12 image tiles from a single gastric biopsy slide, 20× magnification.
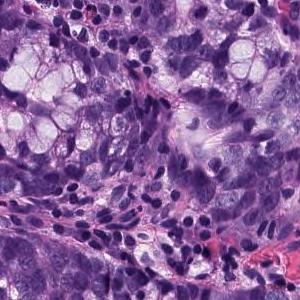
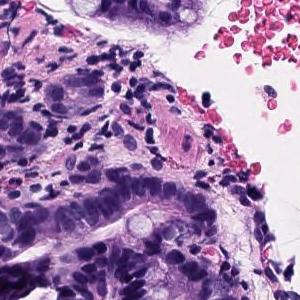
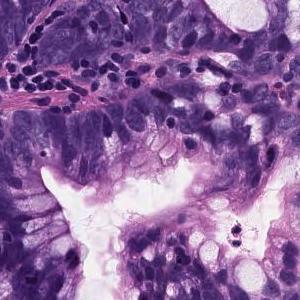
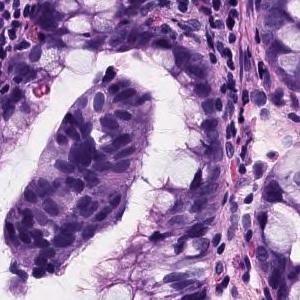
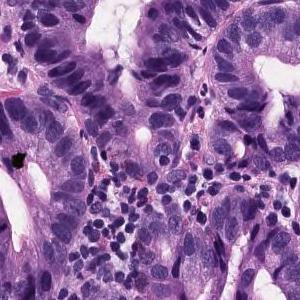
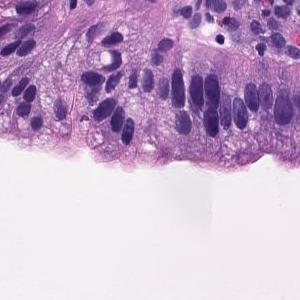
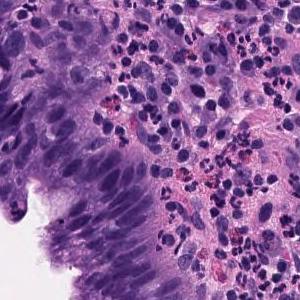
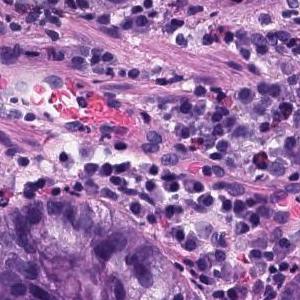
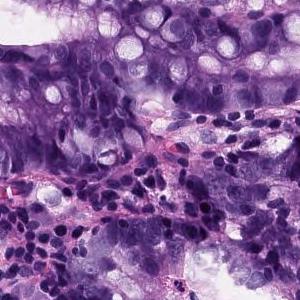
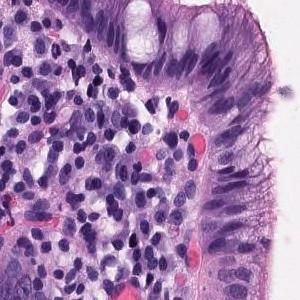
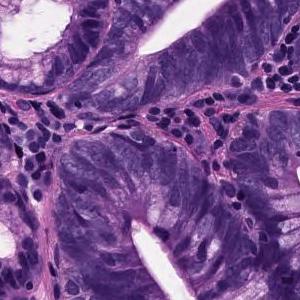
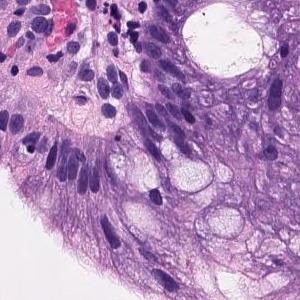
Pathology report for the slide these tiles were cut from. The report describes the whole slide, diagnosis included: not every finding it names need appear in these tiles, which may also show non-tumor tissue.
Tumor cells with strong nuclear atypia proliferate invasively, forming small to medium-sized irregular shaped ducts. moderately differentiated tubular adenocarcinoma
